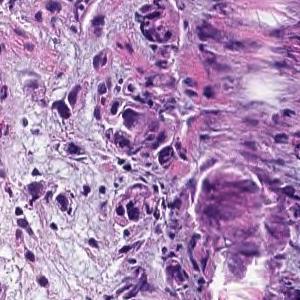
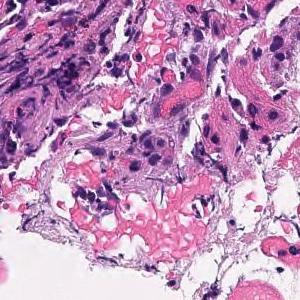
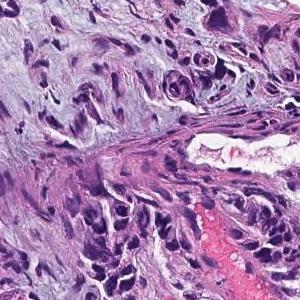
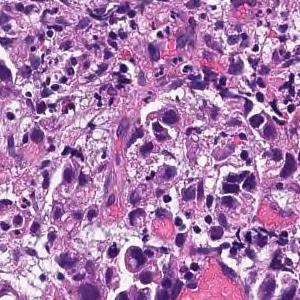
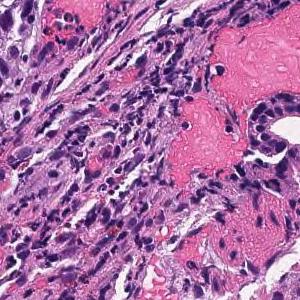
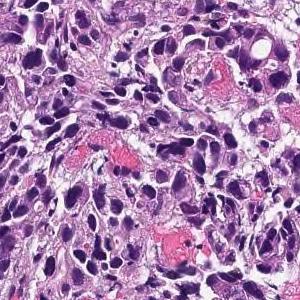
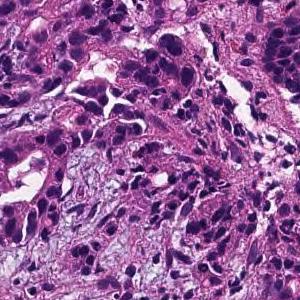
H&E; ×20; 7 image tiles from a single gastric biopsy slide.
Report on the slide these tiles come from. The report and the diagnosis cover the entire slide, so not every feature they name need be visible here, and some tissue shown may not be tumor.
Tumor tissue consisting of cord-like or small, irregular glandular ducts fused and infiltrated is observed in the superficial epithelium. Poorly differentiated adenocarcinoma, non-solid type
The term "non-solid type" comes from the Japanese Classification of Gastric Carcinoma.
